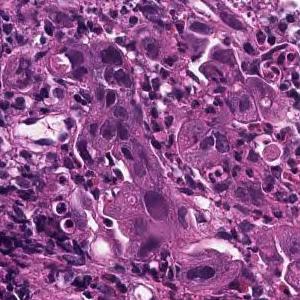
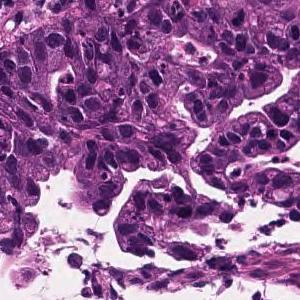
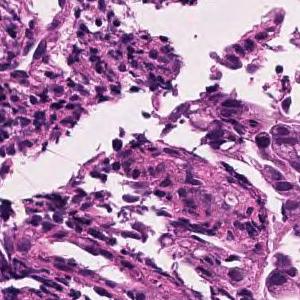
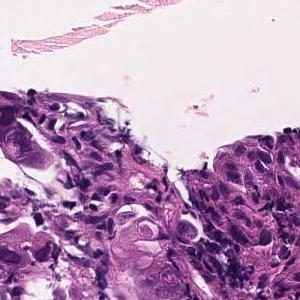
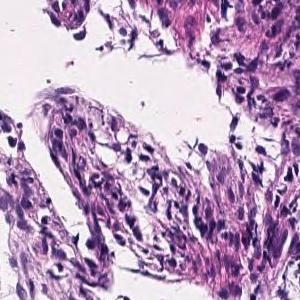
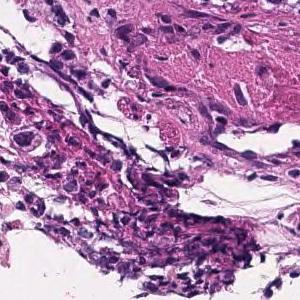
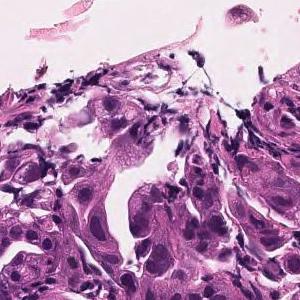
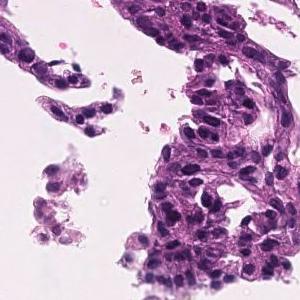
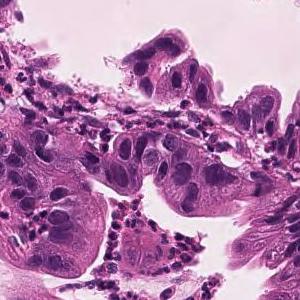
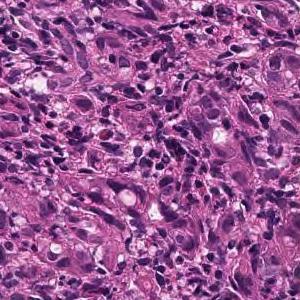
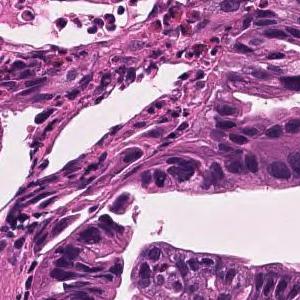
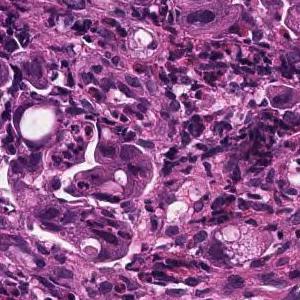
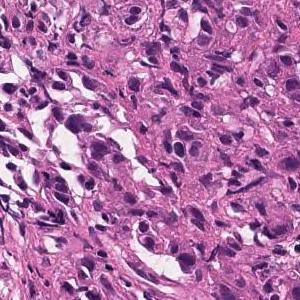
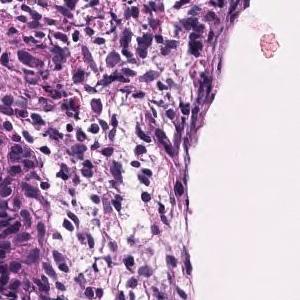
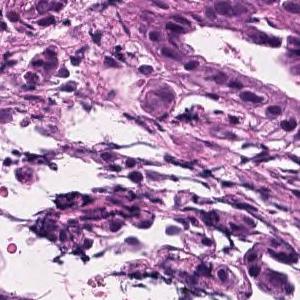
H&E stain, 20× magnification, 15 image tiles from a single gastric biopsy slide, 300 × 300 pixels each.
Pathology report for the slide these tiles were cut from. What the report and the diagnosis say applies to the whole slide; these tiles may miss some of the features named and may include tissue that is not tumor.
Tumor tissue consisting of medium-sized, cord-like or irregular glandular infiltration is observed in the superficial epithelium. Poorly differentiated adenocarcinoma, non-solid type or moderately differentiated tubular adenocarcinoma
The term "non-solid type" comes from the Japanese Classification of Gastric Carcinoma.
